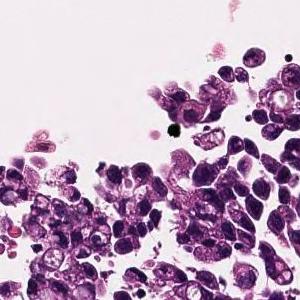
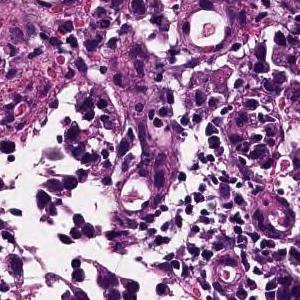
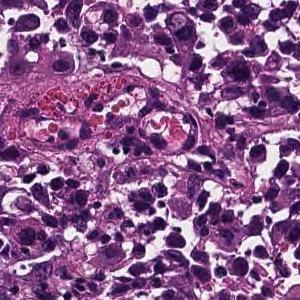
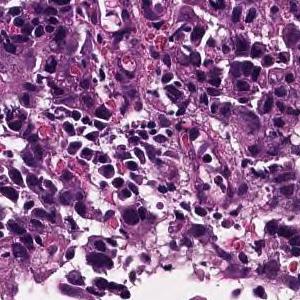
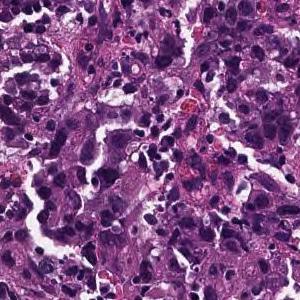
5 tiles cut from one stomach biopsy slide · each 300 × 300 pixels · 20× magnification.
Pathology report for the slide these tiles were cut from. The findings and the diagnosis refer to the entire slide; these tiles show only part of it, possibly with non-tumor tissue, and may not show every feature named.
The superficial epithelium shows a large sheet-like shape, and some tumor tissue infiltrates with small irregular ducts. Poorly differentiated adenocarcinoma, solid-type
Subtype: Poorly differentiated adenocarcinoma, solid type, a category of the Japanese Classification of Gastric Carcinoma; in the WHO 2019 classification it is tubular adenocarcinoma, poorly differentiated.
